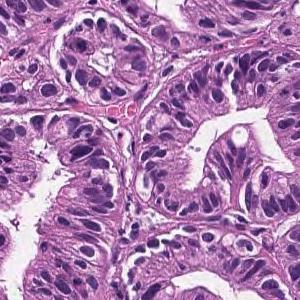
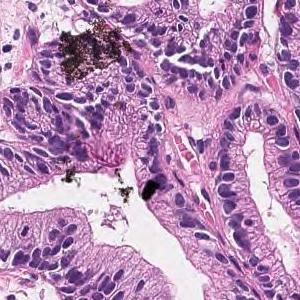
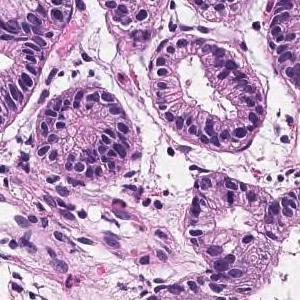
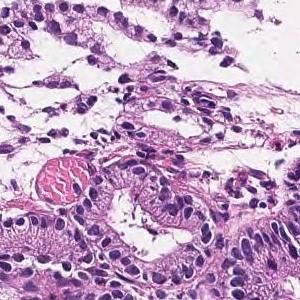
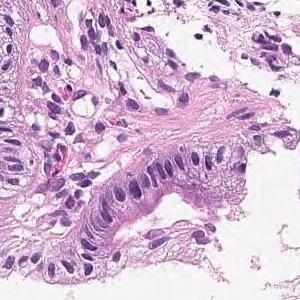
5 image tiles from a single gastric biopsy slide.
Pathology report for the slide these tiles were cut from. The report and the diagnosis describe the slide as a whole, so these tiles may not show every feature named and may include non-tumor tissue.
In the superficial epithelium, tumor tissue that invades by forming medium-sized to small, irregular ducts is observed. Well differentiated tubular adenocarcinoma.
